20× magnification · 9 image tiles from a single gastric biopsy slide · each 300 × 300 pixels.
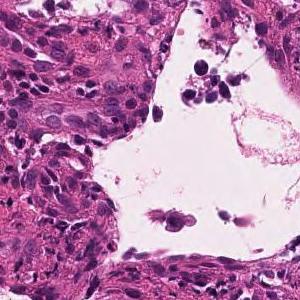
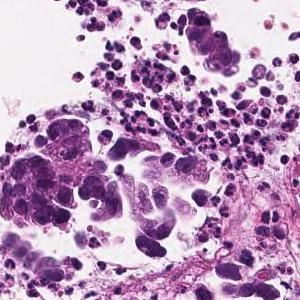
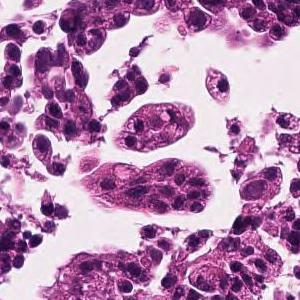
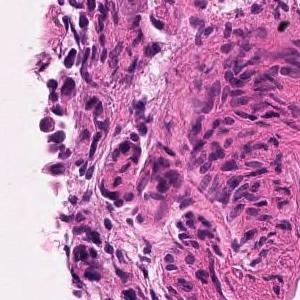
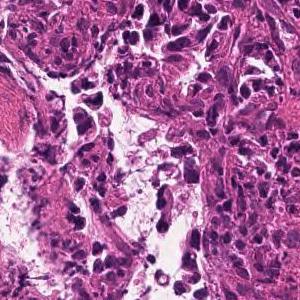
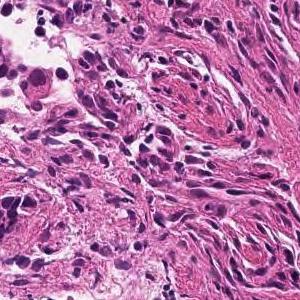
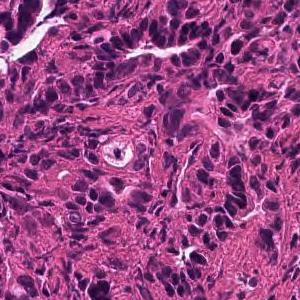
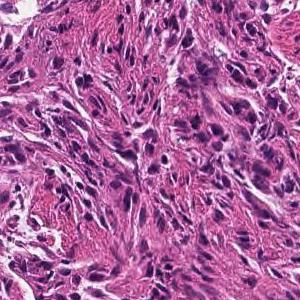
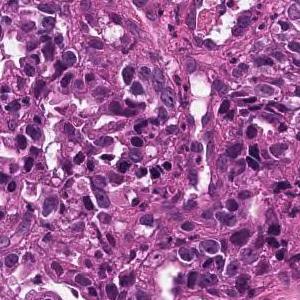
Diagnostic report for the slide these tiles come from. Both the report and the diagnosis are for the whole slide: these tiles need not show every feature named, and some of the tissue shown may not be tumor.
In the superficial epithelium, tumor tissue that invades by forming medium-sized to small, irregular ducts is observed. moderately differentiated tubular adenocarcinoma.
